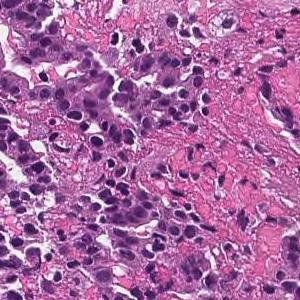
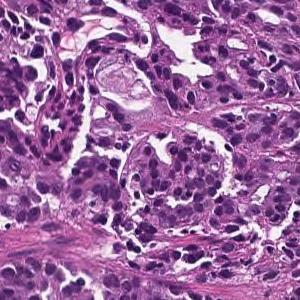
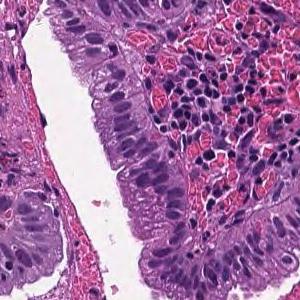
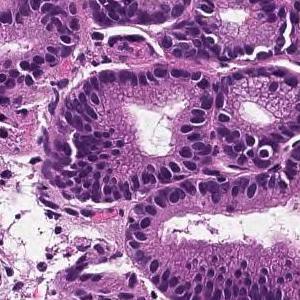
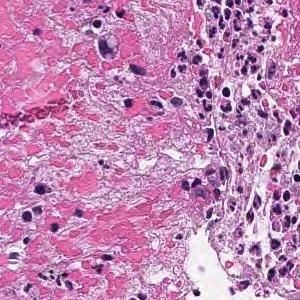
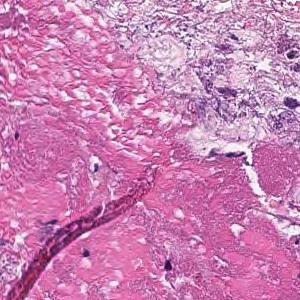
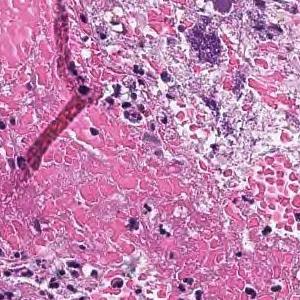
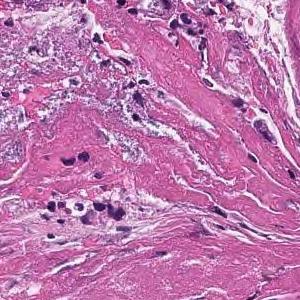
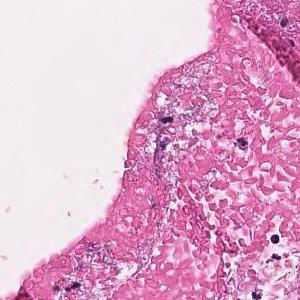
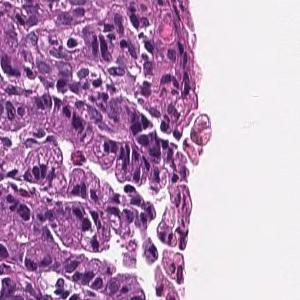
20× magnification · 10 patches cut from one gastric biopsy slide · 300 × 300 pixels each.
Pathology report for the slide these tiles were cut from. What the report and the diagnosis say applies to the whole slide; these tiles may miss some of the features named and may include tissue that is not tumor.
On the superficial epithelium, tumor tissue that infiltrates by forming medium-sized papillary or small irregular ducts is observed. Papillary adenocarcinoma
